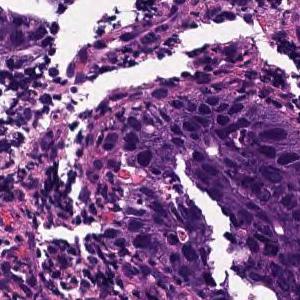
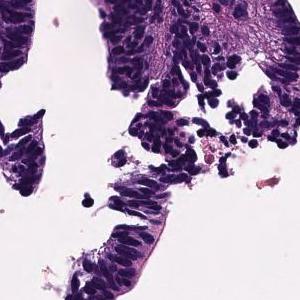
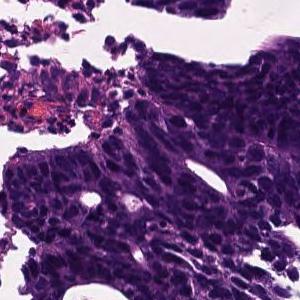
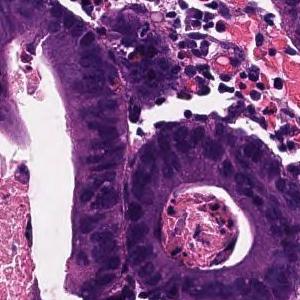
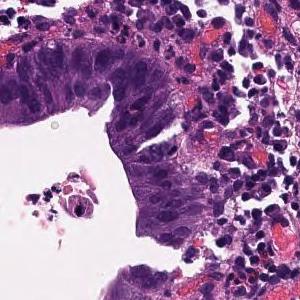
5 image tiles from a single gastric biopsy slide, 300×300 px each, ×20.
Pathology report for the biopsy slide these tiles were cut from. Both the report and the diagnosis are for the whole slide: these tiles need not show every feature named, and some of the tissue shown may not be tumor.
In the superficial epithelium, tumor tissue that invades by forming medium-sized to small, irregular ducts is observed. moderately differentiated tubular adenocarcinoma.
